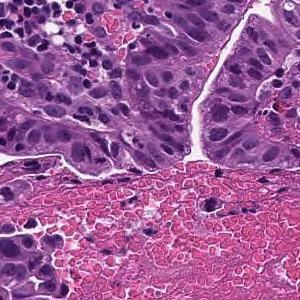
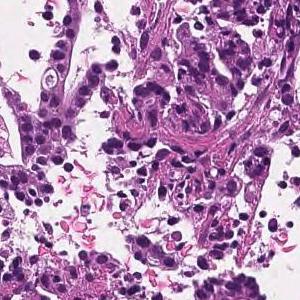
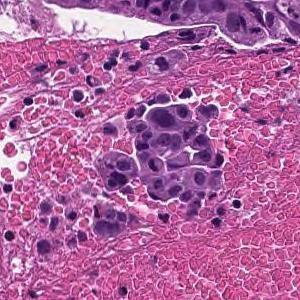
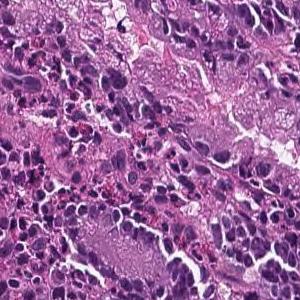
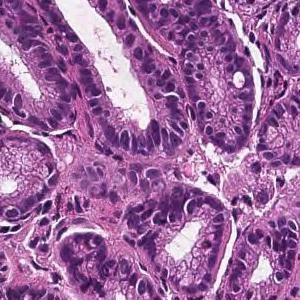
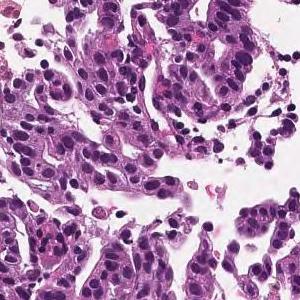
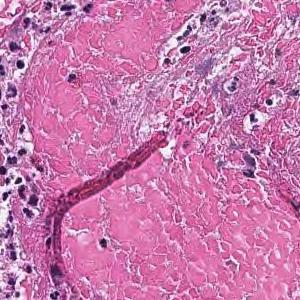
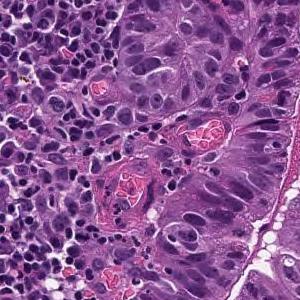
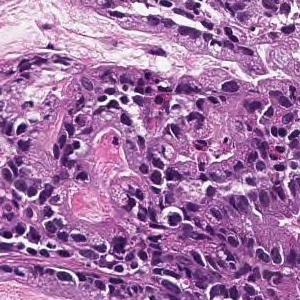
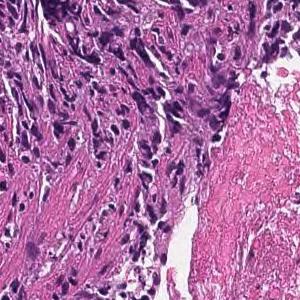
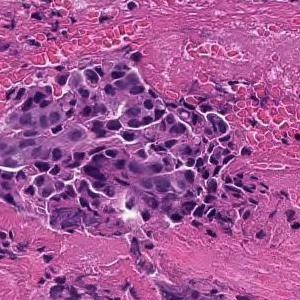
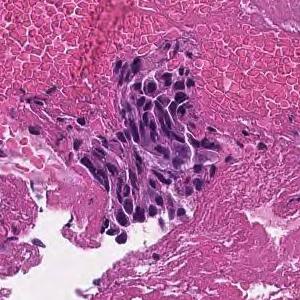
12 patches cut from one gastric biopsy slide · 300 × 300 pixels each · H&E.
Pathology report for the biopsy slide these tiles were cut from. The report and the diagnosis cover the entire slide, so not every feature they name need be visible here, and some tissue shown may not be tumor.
On the superficial epithelium, tumor tissue that infiltrates by forming medium-sized papillary or small irregular ducts is observed. Papillary adenocarcinoma
